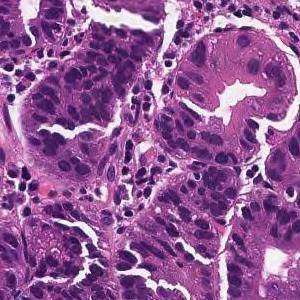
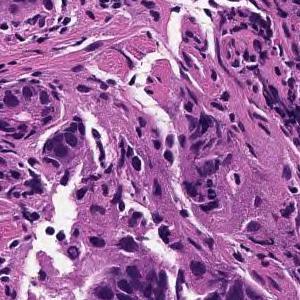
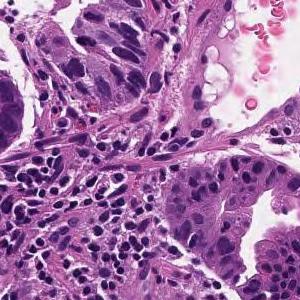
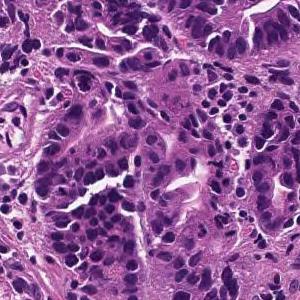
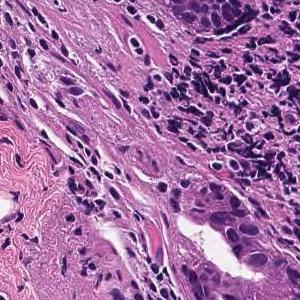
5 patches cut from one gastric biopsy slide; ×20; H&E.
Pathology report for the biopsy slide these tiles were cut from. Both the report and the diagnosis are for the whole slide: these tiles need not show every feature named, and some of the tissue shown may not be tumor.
From the superficial epithelium to the muscularis mucosae, tumor tissue consisting of medium-sized and irregular glandular ducts infiltrating is observed. Well differentiated tubular adenocarcinoma
